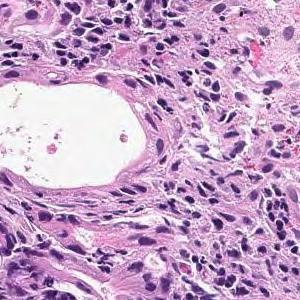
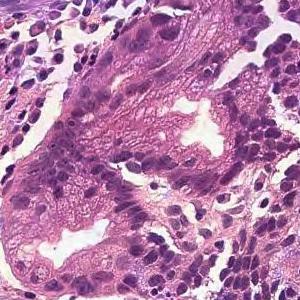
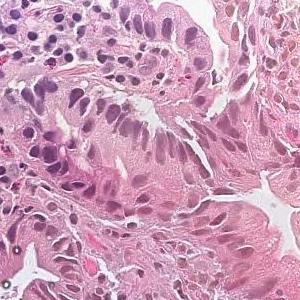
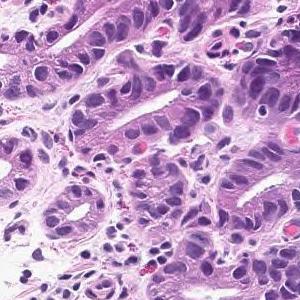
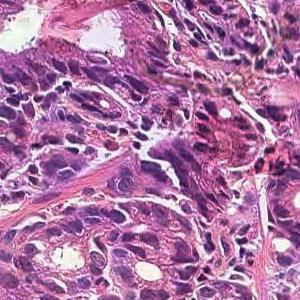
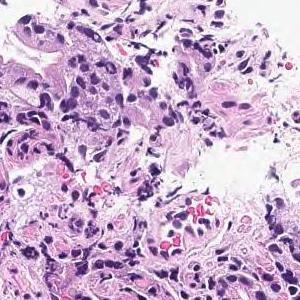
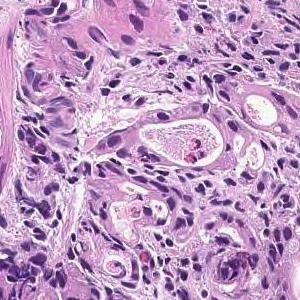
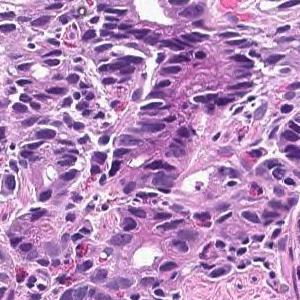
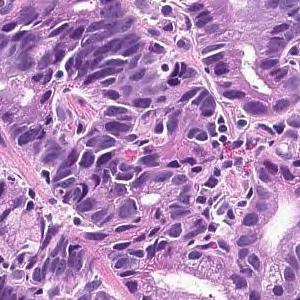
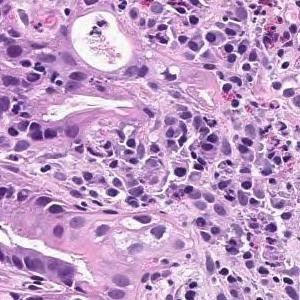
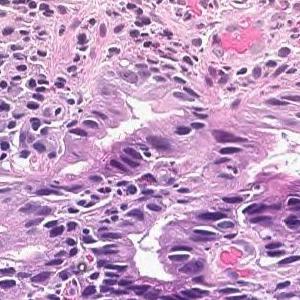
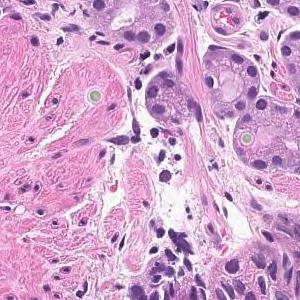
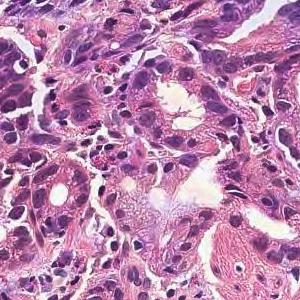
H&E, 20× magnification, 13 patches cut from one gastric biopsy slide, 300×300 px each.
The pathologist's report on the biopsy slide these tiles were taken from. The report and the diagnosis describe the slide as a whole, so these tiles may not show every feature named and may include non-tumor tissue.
In the superficial epithelium, tumor tissue that invades by forming medium-sized to small, irregular ducts is observed. moderately differentiated tubular adenocarcinoma.
